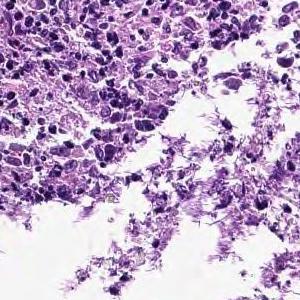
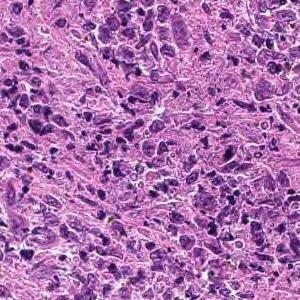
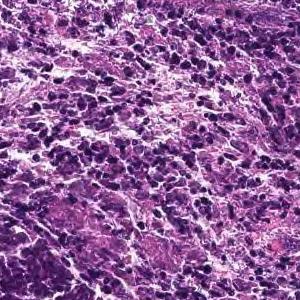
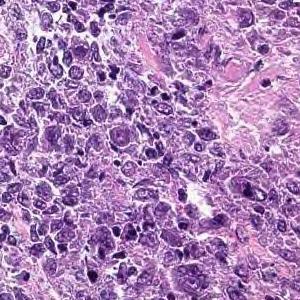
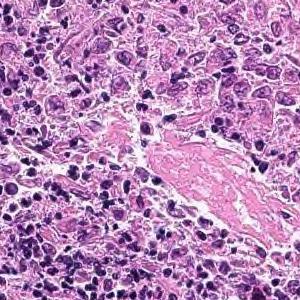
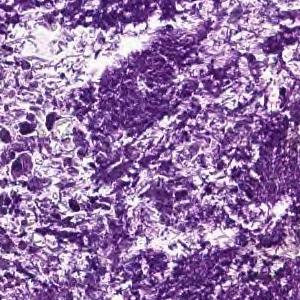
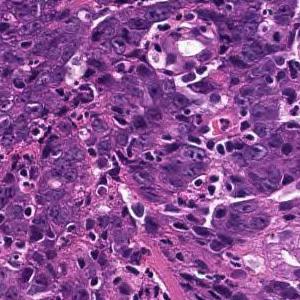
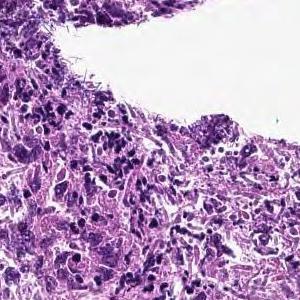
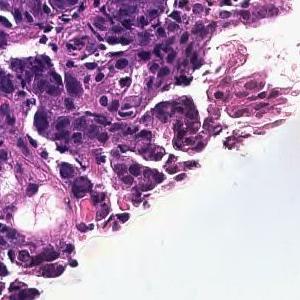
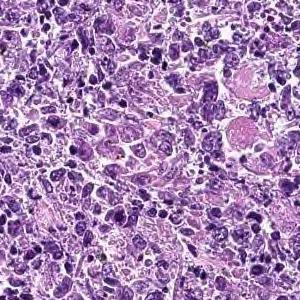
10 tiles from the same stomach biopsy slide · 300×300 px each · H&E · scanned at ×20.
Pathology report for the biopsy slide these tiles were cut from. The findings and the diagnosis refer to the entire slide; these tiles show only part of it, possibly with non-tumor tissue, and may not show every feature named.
Cancers with polygonal nuclei do not show glandular formation and are densely, in part, cord-like and proliferate. Poorly differentiated adenocarcinoma
Subtype: Poorly differentiated adenocarcinoma, non-solid type.
The term "non-solid type" comes from the Japanese Classification of Gastric Carcinoma.
